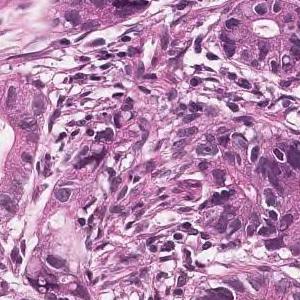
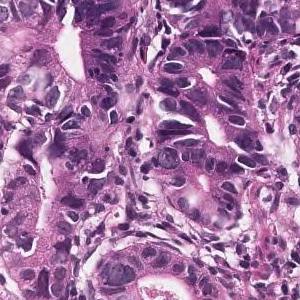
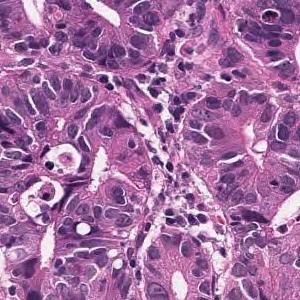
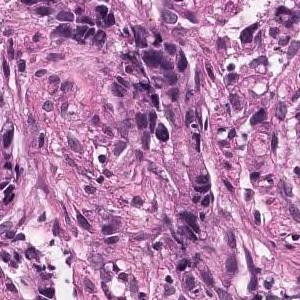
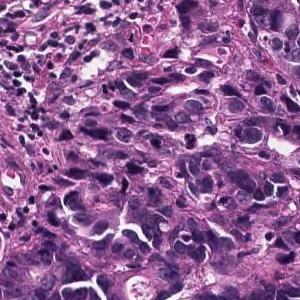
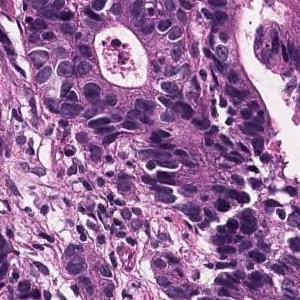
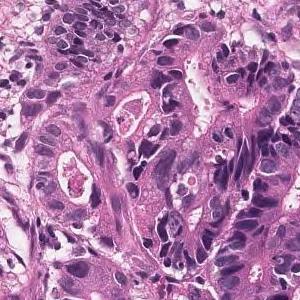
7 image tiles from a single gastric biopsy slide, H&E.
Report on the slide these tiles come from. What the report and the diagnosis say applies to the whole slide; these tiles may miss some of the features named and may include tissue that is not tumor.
In the superficial epithelium, tumor tissue is found in which medium-sized irregular gland ducts fuse with each other and infiltrate. moderately differentiated tubular adenocarcinoma
